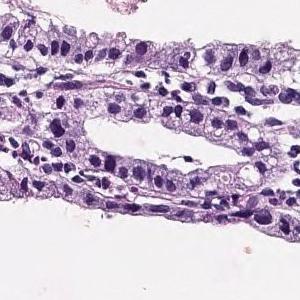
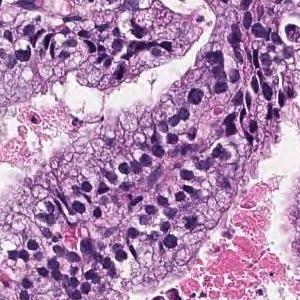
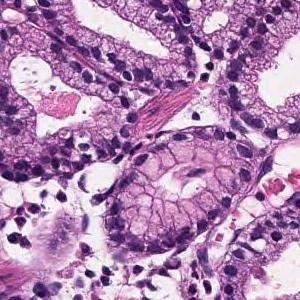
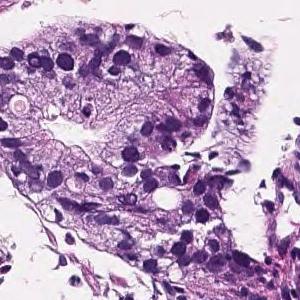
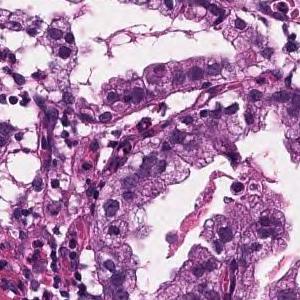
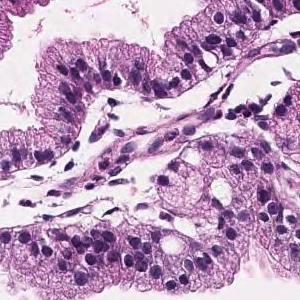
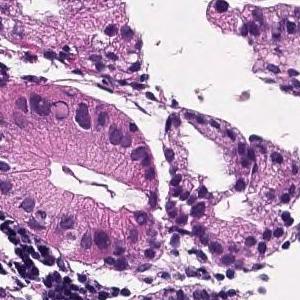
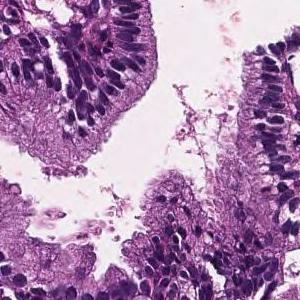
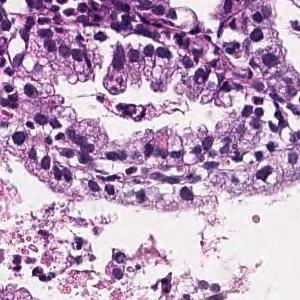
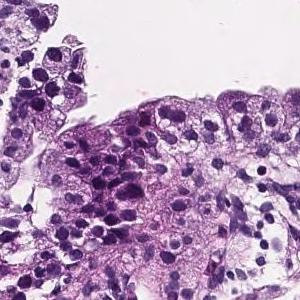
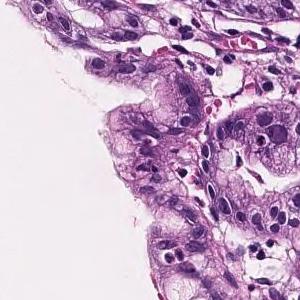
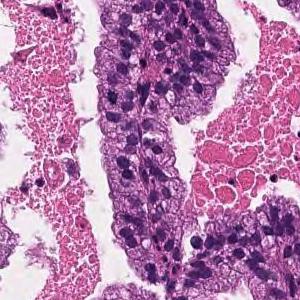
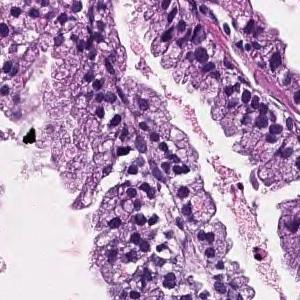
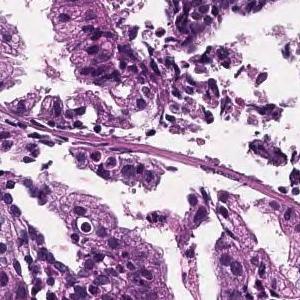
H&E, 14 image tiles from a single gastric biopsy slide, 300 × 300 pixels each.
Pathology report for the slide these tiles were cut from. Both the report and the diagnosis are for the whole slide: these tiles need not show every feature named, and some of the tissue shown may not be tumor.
In the superficial epithelium, tumor tissue that infiltrates by forming medium-sized papillary or small irregular ducts is observed. Papillary adenocarcinoma
